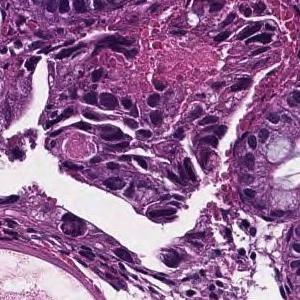
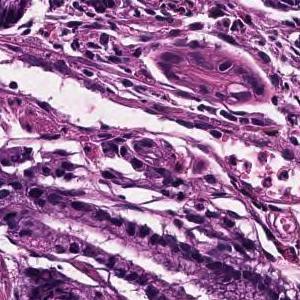
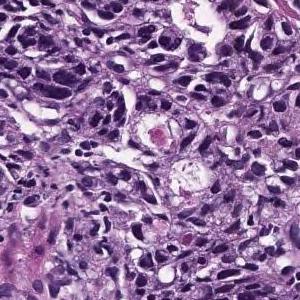
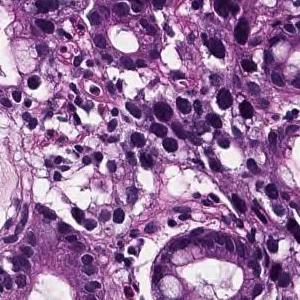
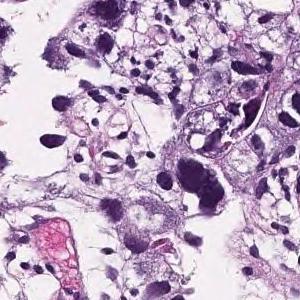
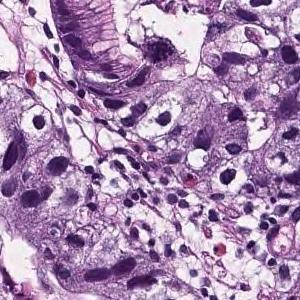
6 image tiles from a single gastric biopsy slide · 300×300 px each · H&E · 20× magnification.
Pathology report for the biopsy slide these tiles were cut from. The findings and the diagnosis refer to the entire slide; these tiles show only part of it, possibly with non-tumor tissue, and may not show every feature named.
In the superficial epithelium, medium to small irregular gland ducts are formed, and in some cases, the ducts are fused to show solid alveolar lesions and infiltrating tumor tissue is observed. Moderately to poorly differentiated adenocarcinoma
